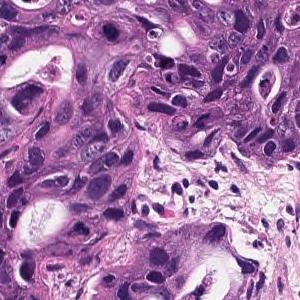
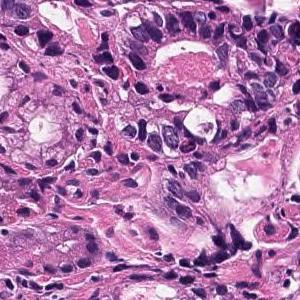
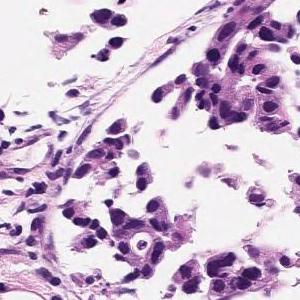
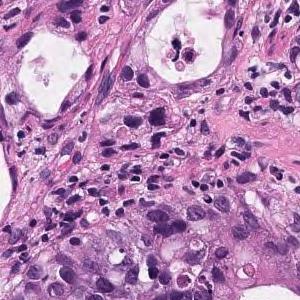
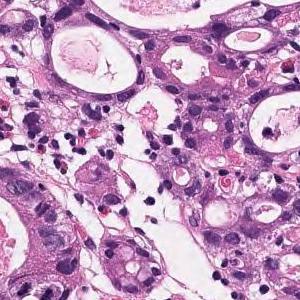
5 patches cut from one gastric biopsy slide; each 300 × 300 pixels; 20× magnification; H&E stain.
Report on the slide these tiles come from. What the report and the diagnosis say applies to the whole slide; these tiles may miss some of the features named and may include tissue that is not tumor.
In the superficial epithelium, tumor tissue that invades by forming medium-sized to small, irregular ducts is observed. Moderately differentiated adenocarcinoma.
Classified as moderately differentiated tubular adenocarcinoma.
